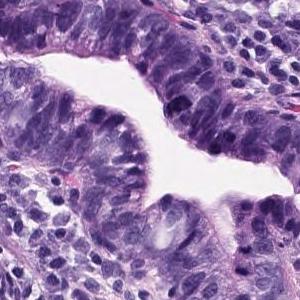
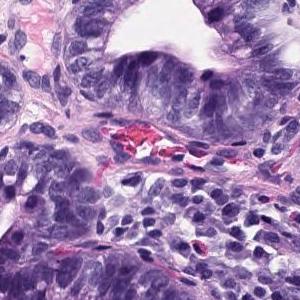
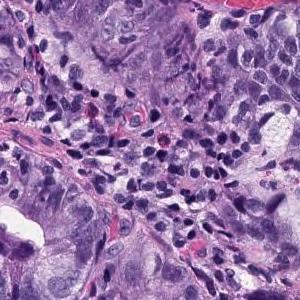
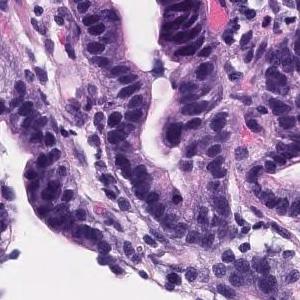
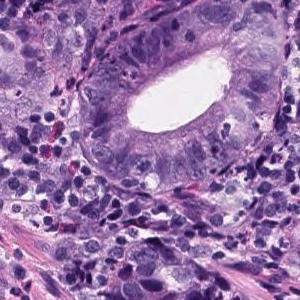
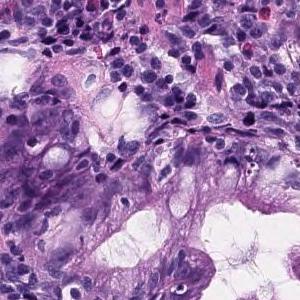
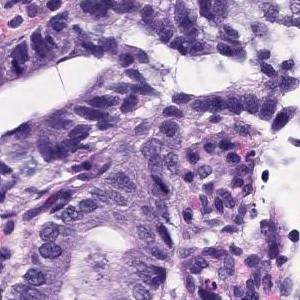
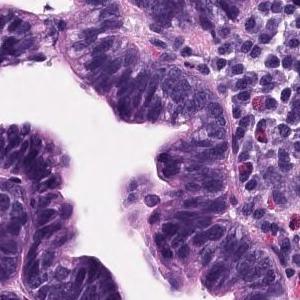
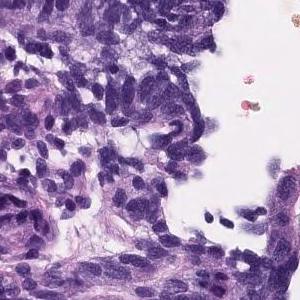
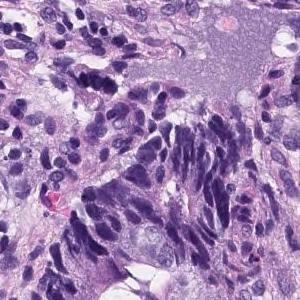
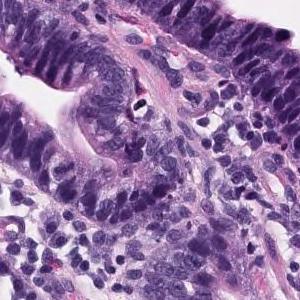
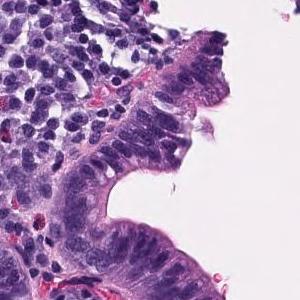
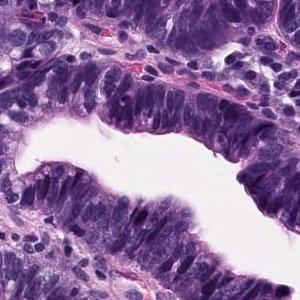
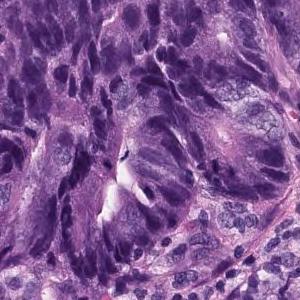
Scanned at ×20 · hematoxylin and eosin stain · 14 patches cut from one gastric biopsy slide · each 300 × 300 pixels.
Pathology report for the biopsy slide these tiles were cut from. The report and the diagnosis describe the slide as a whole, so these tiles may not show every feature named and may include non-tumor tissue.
Tumor tissue consisting of medium-sized and irregular ducts is observed infiltrating in the superficial epithelium. Tumor cells are highly columnar, with nuclei aligned basolaterally and polarized. Well differentiated tubular adenocarcinoma.
